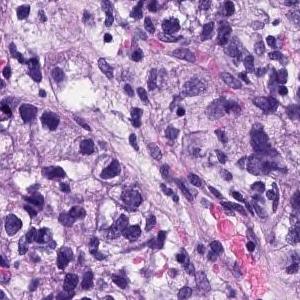
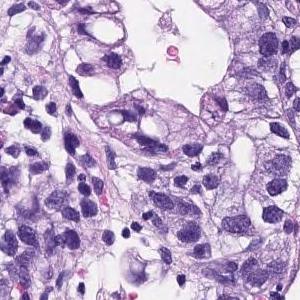
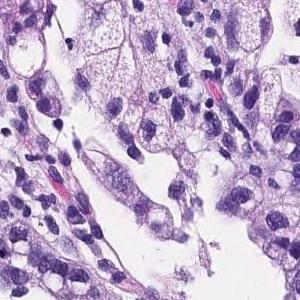
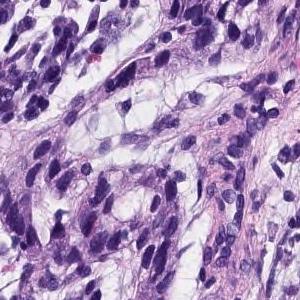
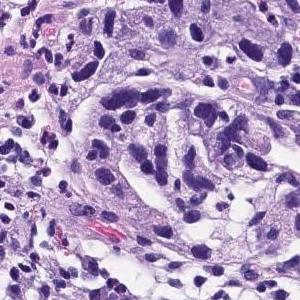
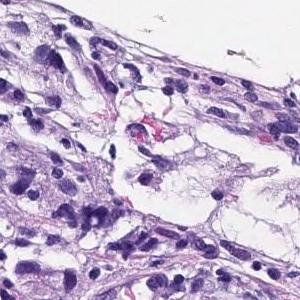
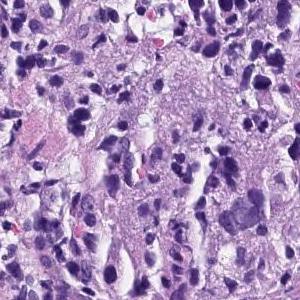
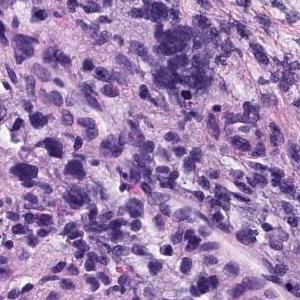
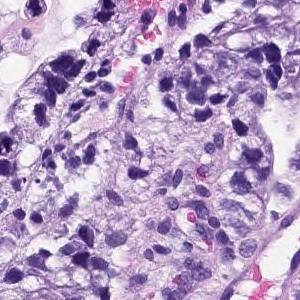
9 tiles from the same stomach biopsy slide · ×20 · H&E.
Pathology report for the biopsy slide these tiles were cut from. The findings and the diagnosis refer to the entire slide; these tiles show only part of it, possibly with non-tumor tissue, and may not show every feature named.
Medium to small, irregular glandular ducts are formed in the superficial epithelium, and in some cases, the glandular ducts are fused to show solid alveolar lesions and infiltrating tumor tissue is observed. Poorly differentiated adenocarcinoma, Moderately differentiated adenocarcinoma.
Dataset label: moderately differentiated tubular adenocarcinoma.
